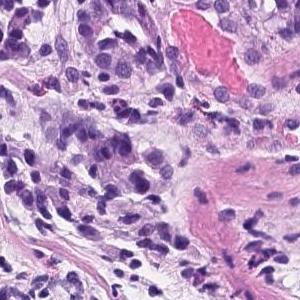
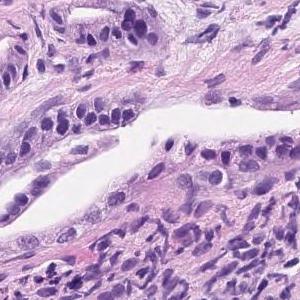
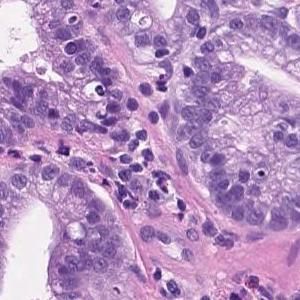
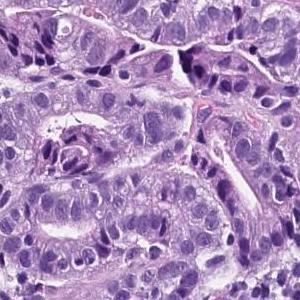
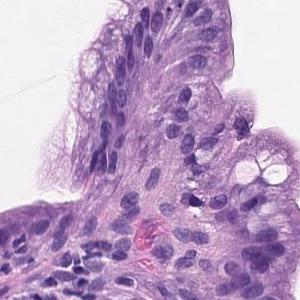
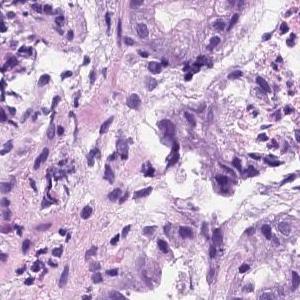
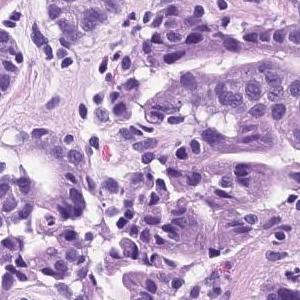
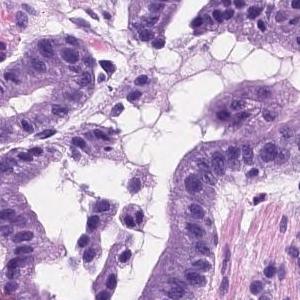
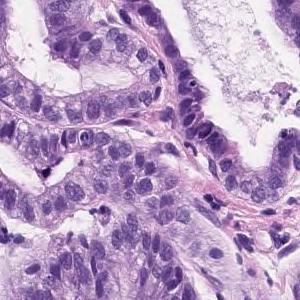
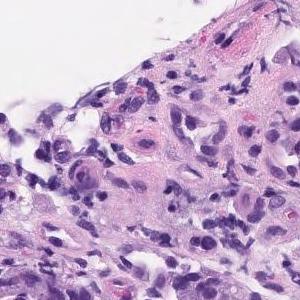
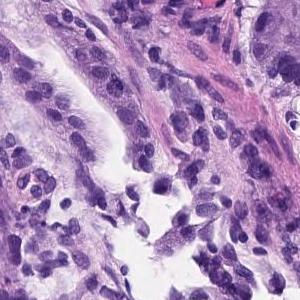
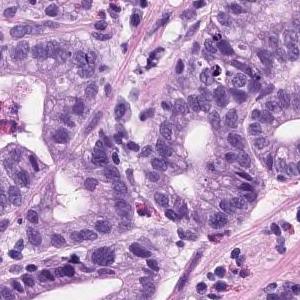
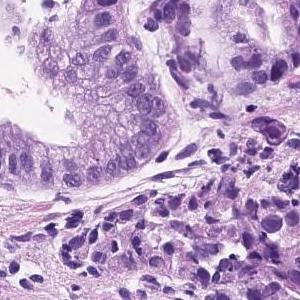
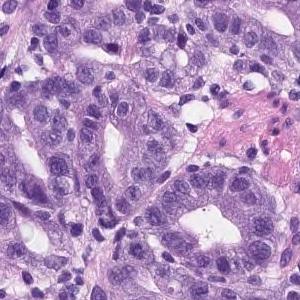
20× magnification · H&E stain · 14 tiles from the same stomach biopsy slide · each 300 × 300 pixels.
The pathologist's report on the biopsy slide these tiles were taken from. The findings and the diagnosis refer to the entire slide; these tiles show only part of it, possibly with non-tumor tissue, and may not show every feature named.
Tumor tissue consisting of medium-sized and irregular ducts is observed infiltrating in the superficial epithelium. Tumor cells are highly columnar, with nuclei aligned basolaterally and polarized. Well differentiated tubular adenocarcinoma.
